8 image tiles from a single gastric biopsy slide · H&E · scanned at ×20.
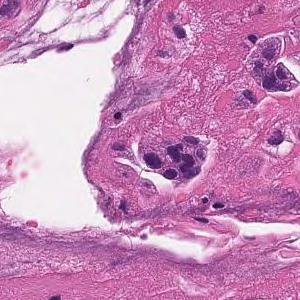
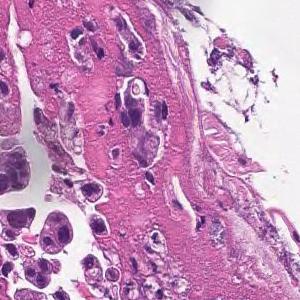
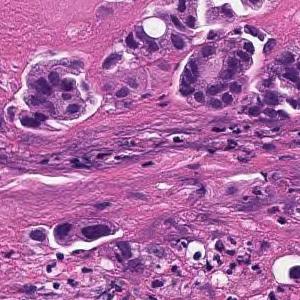
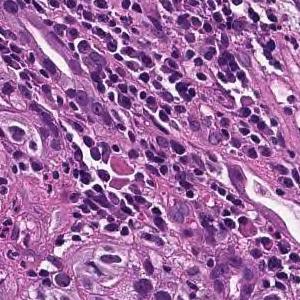
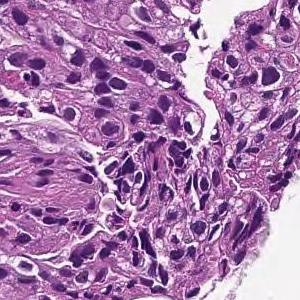
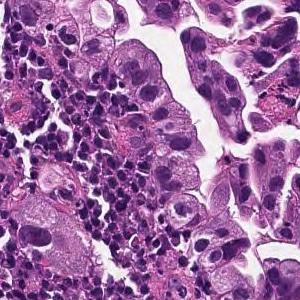
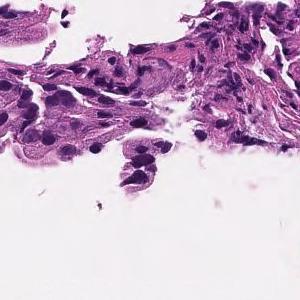
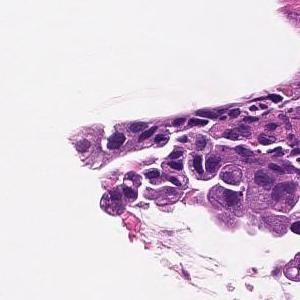
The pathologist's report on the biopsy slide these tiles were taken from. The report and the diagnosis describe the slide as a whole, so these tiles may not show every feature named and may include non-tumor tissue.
Medium to small, irregular glandular ducts are formed in the superficial epithelium, and in some cases, the glandular ducts are fused to show solid alveolar lesions and infiltrating tumor tissue is observed. Moderately to poorly differentiated adenocarcinoma.
